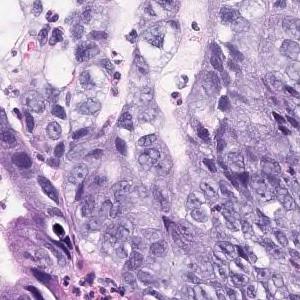
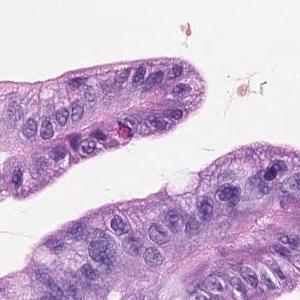
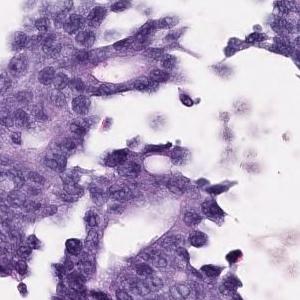
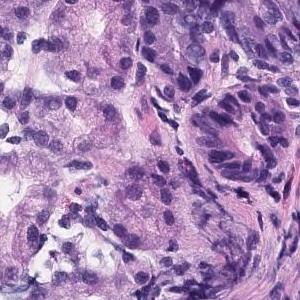
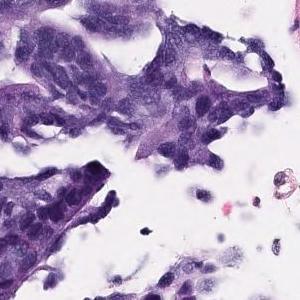
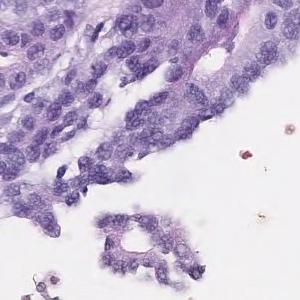
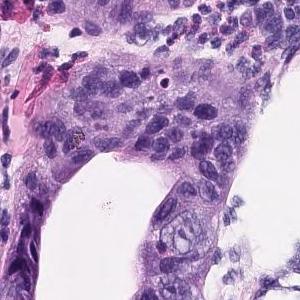
7 tiles cut from one stomach biopsy slide; each 300 × 300 pixels; H&E stain.
Report on the slide these tiles come from. What the report and the diagnosis say applies to the whole slide; these tiles may miss some of the features named and may include tissue that is not tumor.
In the superficial epithelium, tumor tissue that invades by forming medium-sized to small, irregular ducts is observed. Well to moderately differentiated tubular adenocarcinoma.
